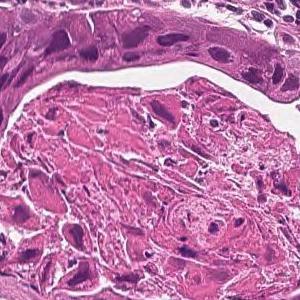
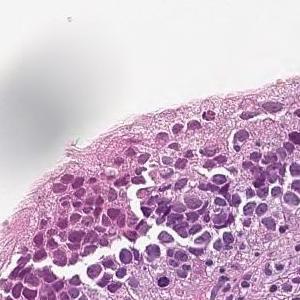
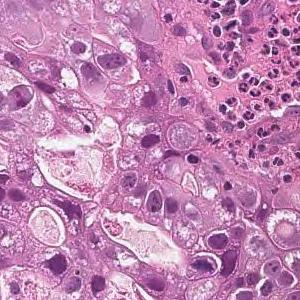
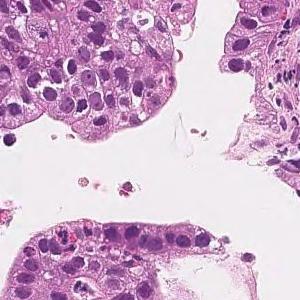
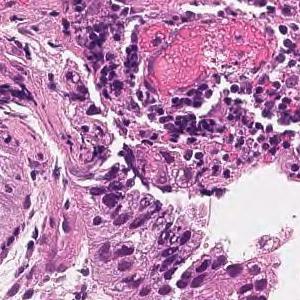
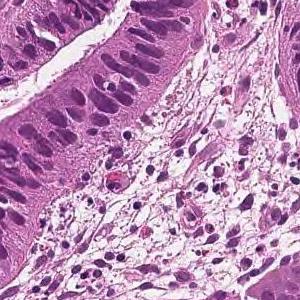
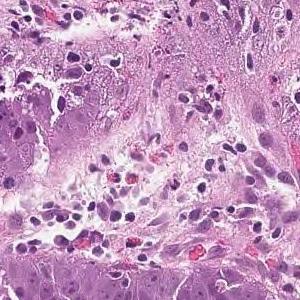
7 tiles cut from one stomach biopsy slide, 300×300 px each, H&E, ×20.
Report on the slide these tiles come from. The report and the diagnosis cover the entire slide, so not every feature they name need be visible here, and some tissue shown may not be tumor.
In the superficial epithelium, tumor tissue that invades by forming medium-sized to small, irregular ducts is observed. moderately differentiated tubular adenocarcinoma.
